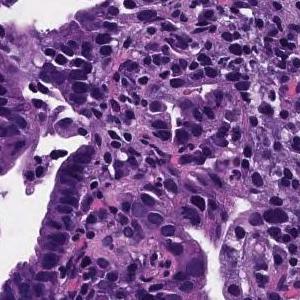
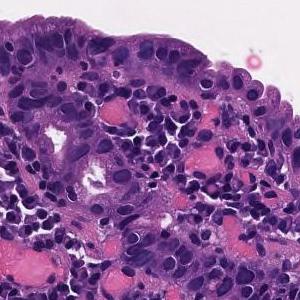
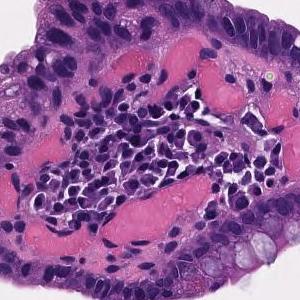
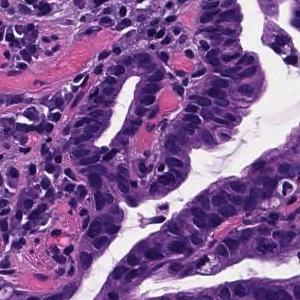
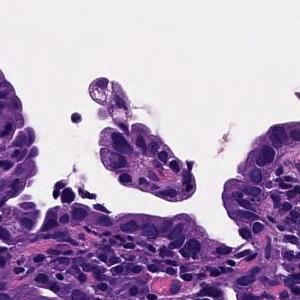
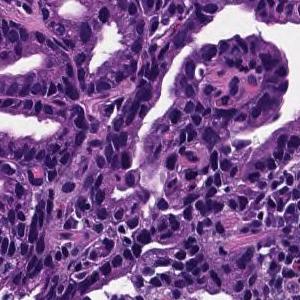
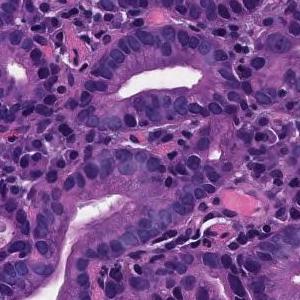
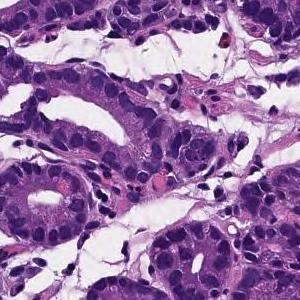
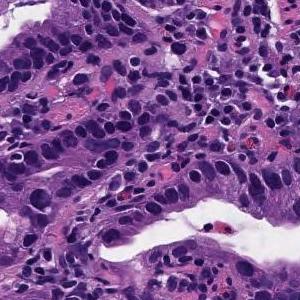
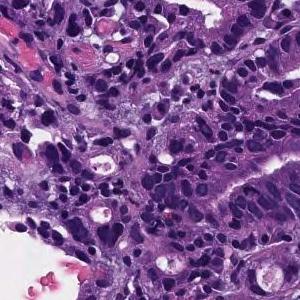
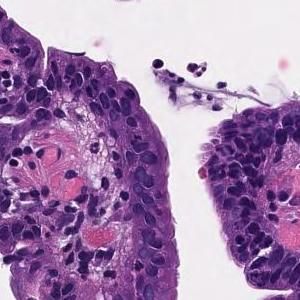
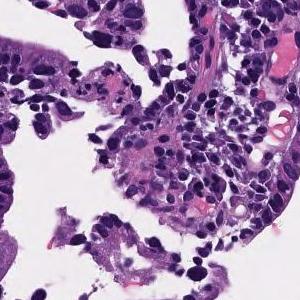
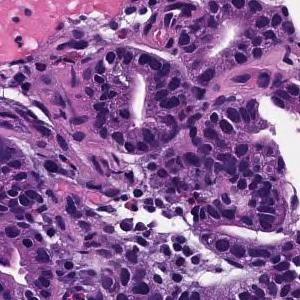
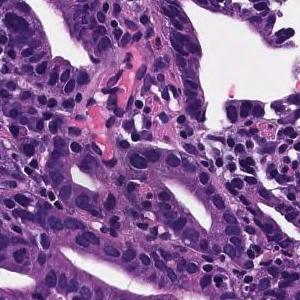
×20 · hematoxylin and eosin stain · 14 tiles cut from one stomach biopsy slide · 300 × 300 pixels each.
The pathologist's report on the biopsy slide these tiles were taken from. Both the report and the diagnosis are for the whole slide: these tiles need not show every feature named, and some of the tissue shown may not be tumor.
From the superficial epithelium to the muscularis mucosae, tumor tissue consisting of medium-sized and irregular glandular ducts infiltrating is observed. Well differentiated tubular adenocarcinoma
